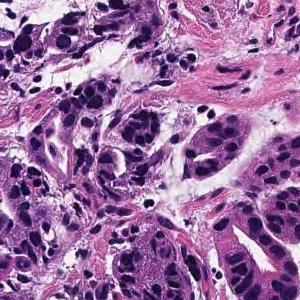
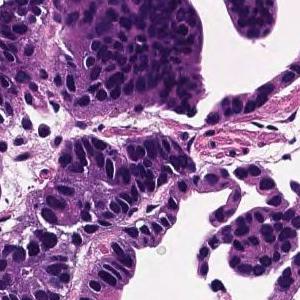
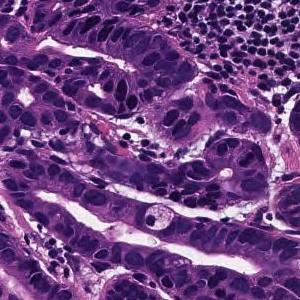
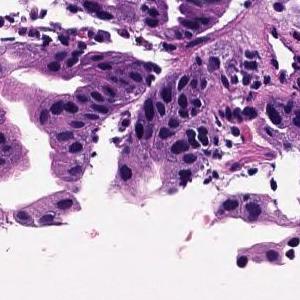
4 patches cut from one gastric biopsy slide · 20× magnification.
Pathology report for the slide these tiles were cut from. The report and the diagnosis cover the entire slide, so not every feature they name need be visible here, and some tissue shown may not be tumor.
From the superficial epithelium to the muscularis mucosae, tumor tissue consisting of medium-sized and irregular glandular ducts infiltrating is observed. Well differentiated tubular adenocarcinoma
